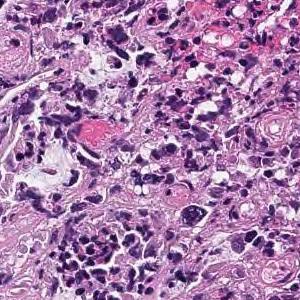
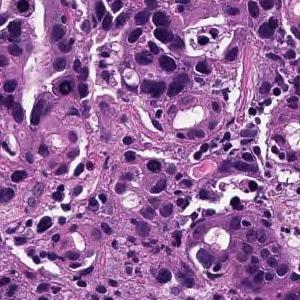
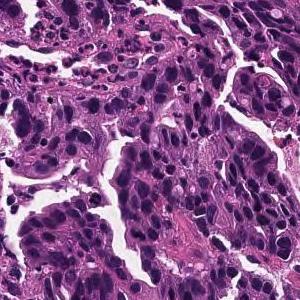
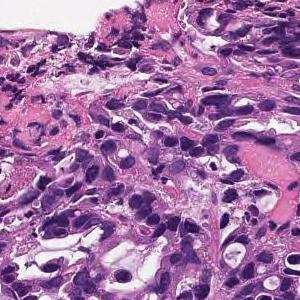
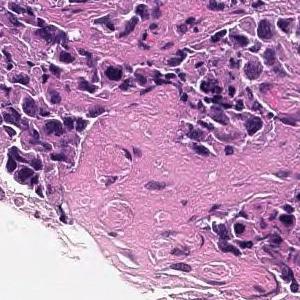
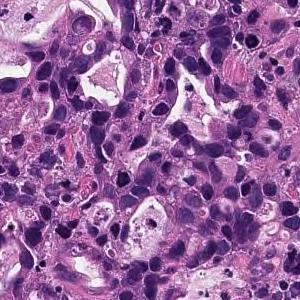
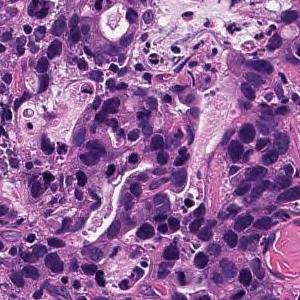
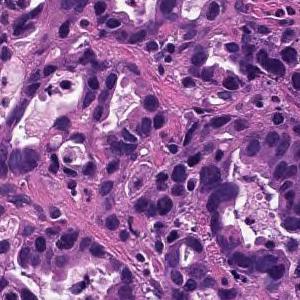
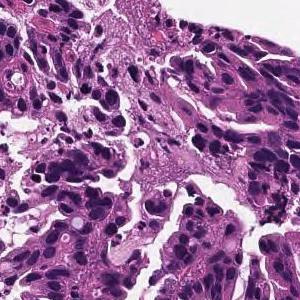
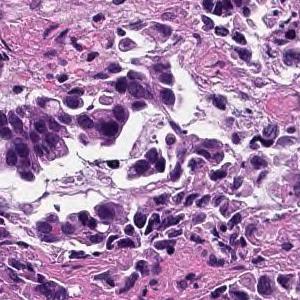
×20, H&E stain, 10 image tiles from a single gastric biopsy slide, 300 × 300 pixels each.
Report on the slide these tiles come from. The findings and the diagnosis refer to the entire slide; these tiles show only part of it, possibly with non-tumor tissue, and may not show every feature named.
In the superficial epithelium, tumor tissue that invades by forming medium-sized to small, irregular ducts is observed. moderately differentiated tubular adenocarcinoma.
